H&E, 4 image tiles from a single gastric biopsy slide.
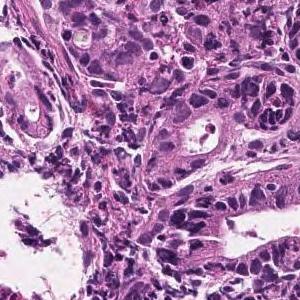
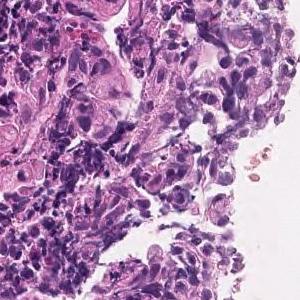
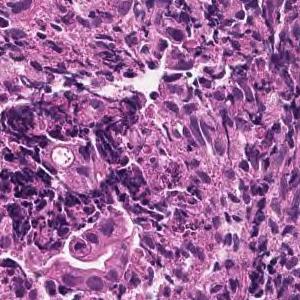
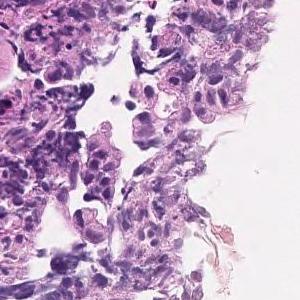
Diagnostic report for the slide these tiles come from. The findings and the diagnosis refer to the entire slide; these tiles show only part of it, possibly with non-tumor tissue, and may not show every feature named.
In the superficial epithelium, tumor tissue that invades by forming medium-sized to small, irregular ducts is observed. moderately differentiated tubular adenocarcinoma.
